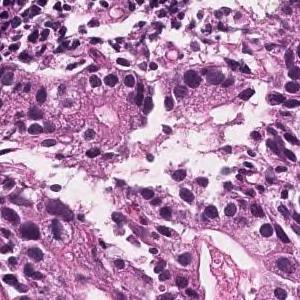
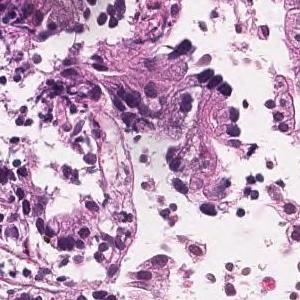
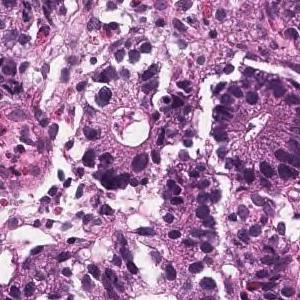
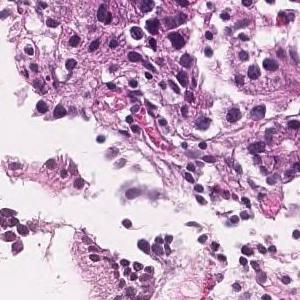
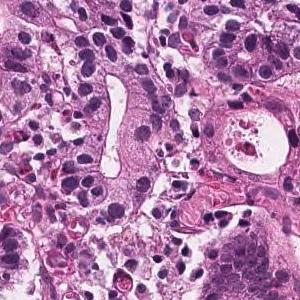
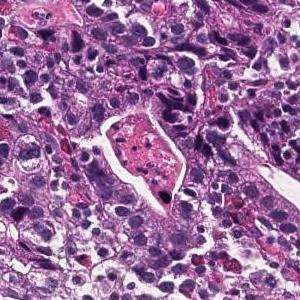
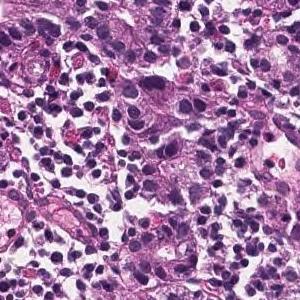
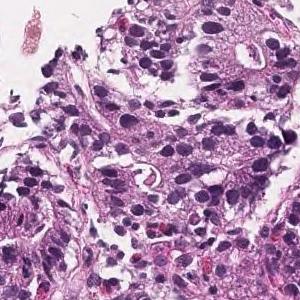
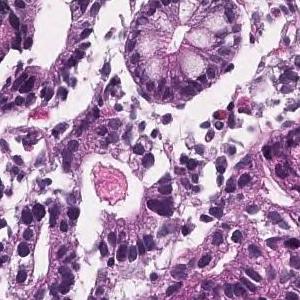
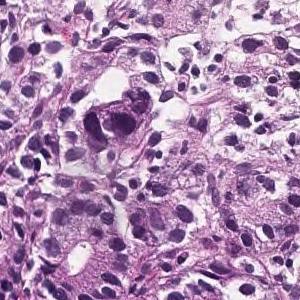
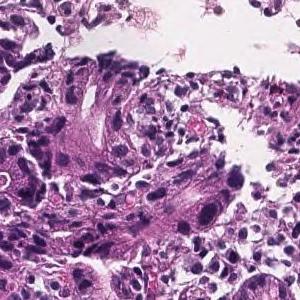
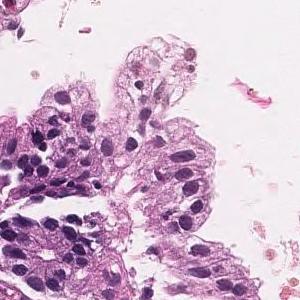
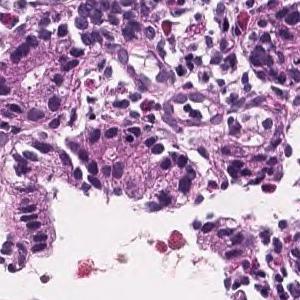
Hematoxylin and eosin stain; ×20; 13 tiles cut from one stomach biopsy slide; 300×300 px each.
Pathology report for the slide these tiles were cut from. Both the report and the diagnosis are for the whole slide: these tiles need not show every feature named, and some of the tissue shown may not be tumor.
Tumor tissue that forms medium-sized, irregular glandular ducts and is papillary and proliferate is observed confined to the mucosal epithelium. moderately differentiated tubular adenocarcinoma.
